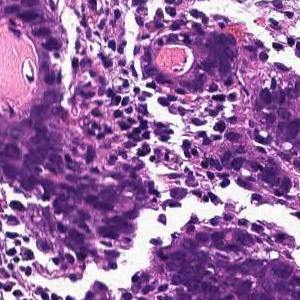
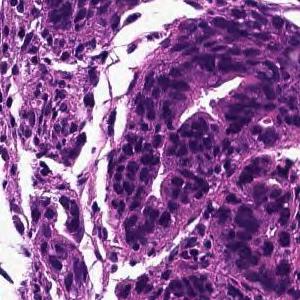
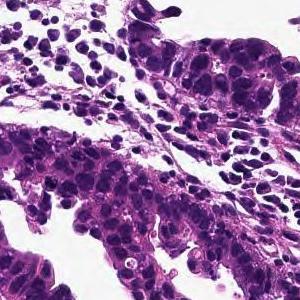
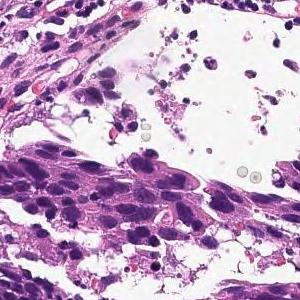
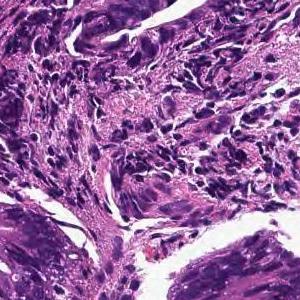
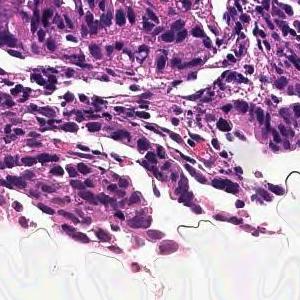
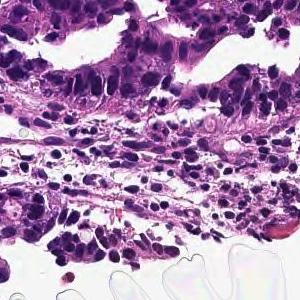
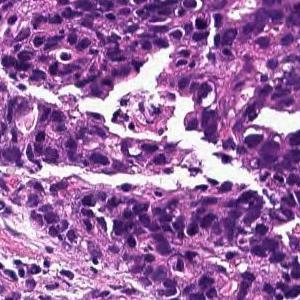
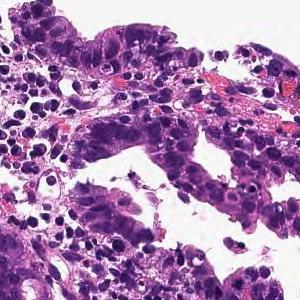
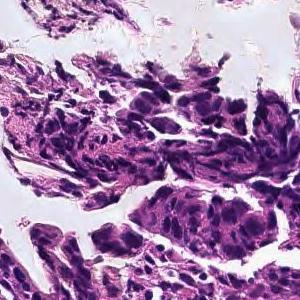
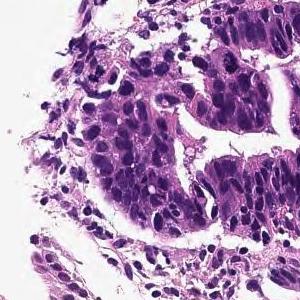
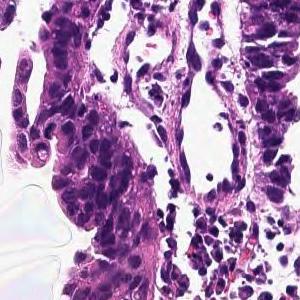
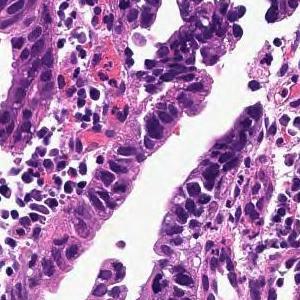
13 patches cut from one gastric biopsy slide · 300×300 px each · 20× magnification · H&E.
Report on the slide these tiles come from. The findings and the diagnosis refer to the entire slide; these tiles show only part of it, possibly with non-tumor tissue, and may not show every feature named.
In the superficial epithelium, tumor tissue that invades by forming medium-sized to small, irregular ducts is observed. moderately differentiated tubular adenocarcinoma.
